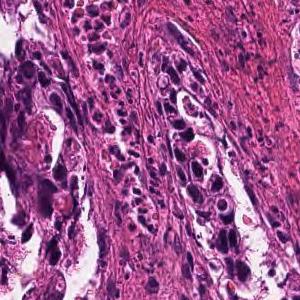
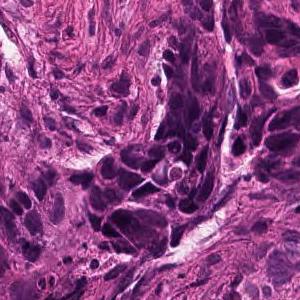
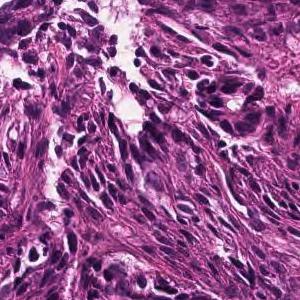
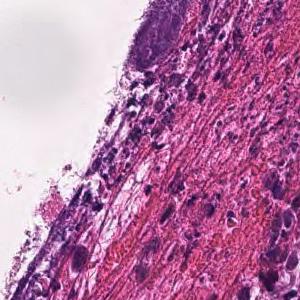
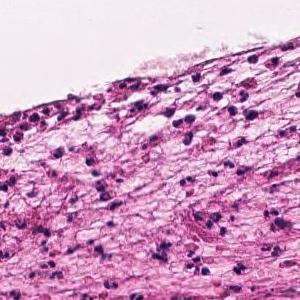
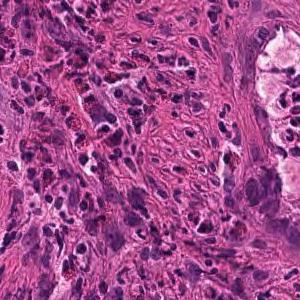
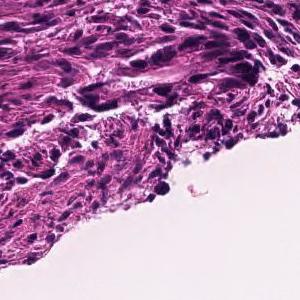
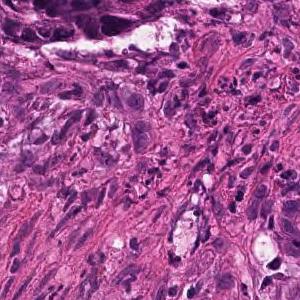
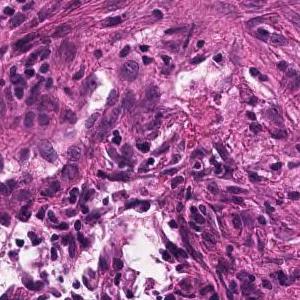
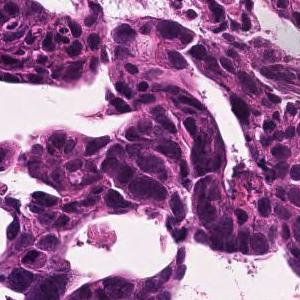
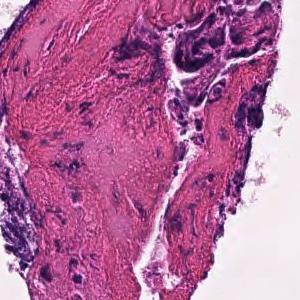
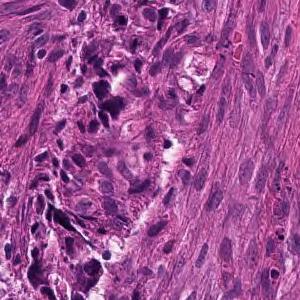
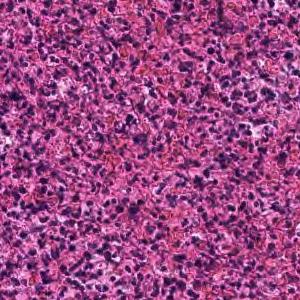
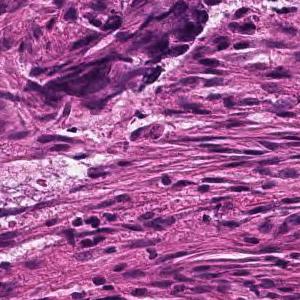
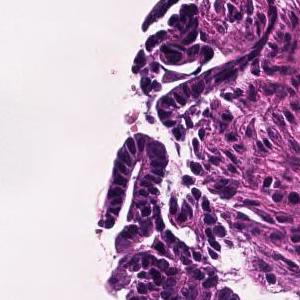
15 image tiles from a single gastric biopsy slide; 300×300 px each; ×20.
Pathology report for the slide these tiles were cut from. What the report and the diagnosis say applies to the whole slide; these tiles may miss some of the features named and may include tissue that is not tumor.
In the superficial epithelium, tumor tissue that invades by forming medium-sized to small, irregular ducts is observed. moderately differentiated tubular adenocarcinoma.
